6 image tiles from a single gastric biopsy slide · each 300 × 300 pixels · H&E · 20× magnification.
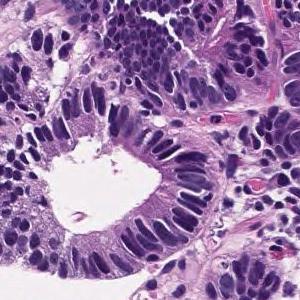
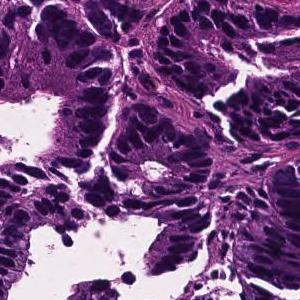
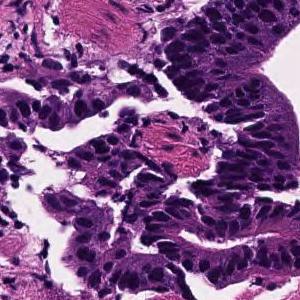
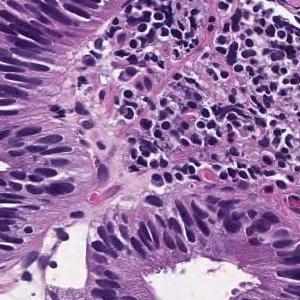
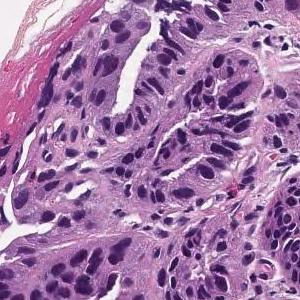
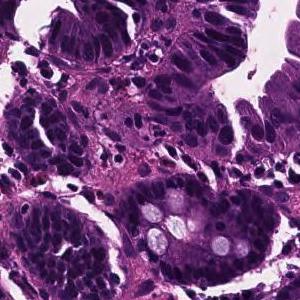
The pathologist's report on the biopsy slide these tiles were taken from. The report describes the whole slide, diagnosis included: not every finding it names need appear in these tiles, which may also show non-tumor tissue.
Tumor cells are large, highly columnar, large club-shaped nuclei, and are associated with chromatin aggregation. Papillary adenocarcinoma.
